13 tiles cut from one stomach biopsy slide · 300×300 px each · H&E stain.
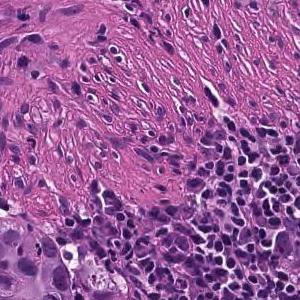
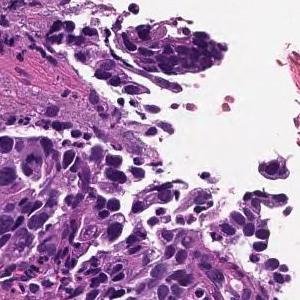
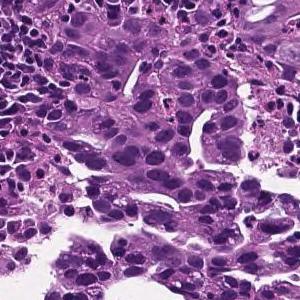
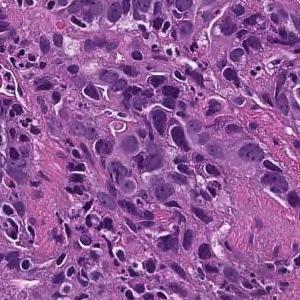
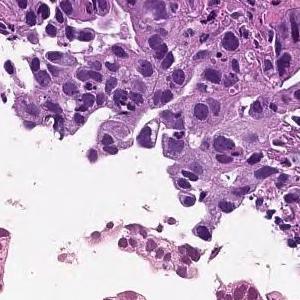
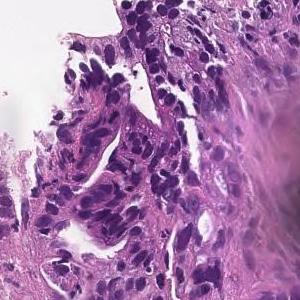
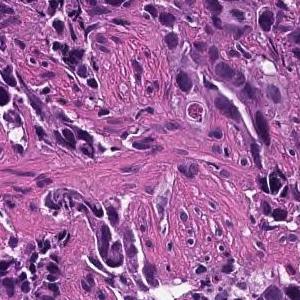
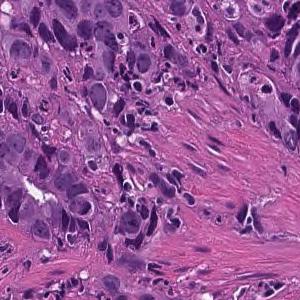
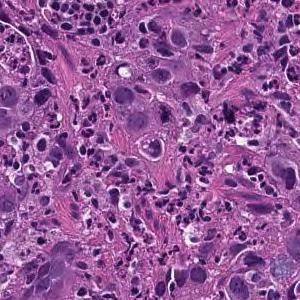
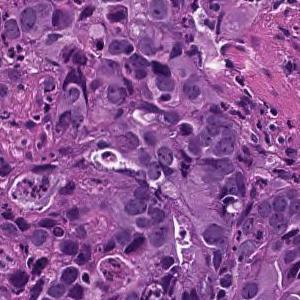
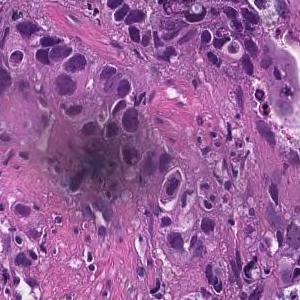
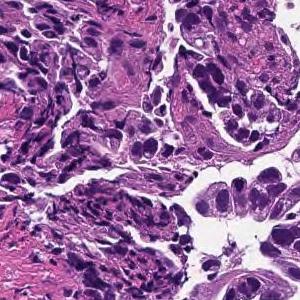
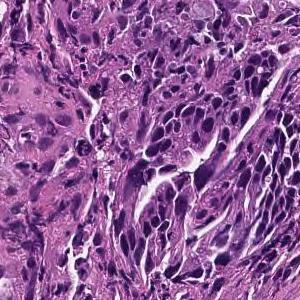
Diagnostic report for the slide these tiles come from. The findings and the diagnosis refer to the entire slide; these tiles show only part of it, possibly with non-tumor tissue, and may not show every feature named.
Tumor tissue consisting of medium-sized, cord-like or irregular glandular infiltration is observed in the superficial epithelium. Poorly differentiated adenocarcinoma, non-solid type or moderately differentiated tubular adenocarcinoma
Classified as moderately to poorly differentiated adenocarcinoma.
The term "non-solid type" comes from the Japanese Classification of Gastric Carcinoma.
